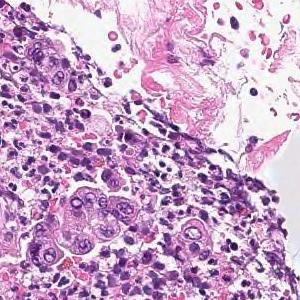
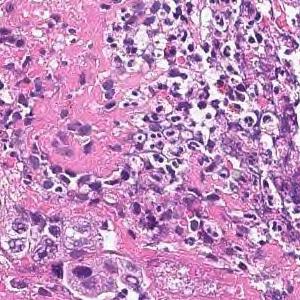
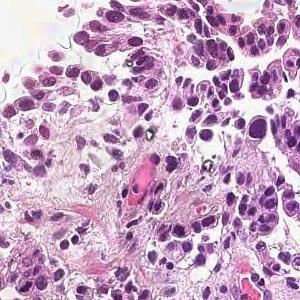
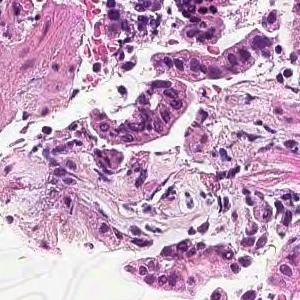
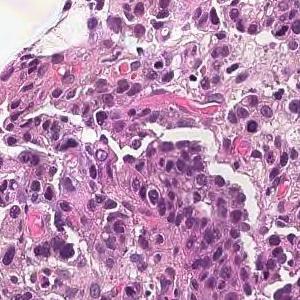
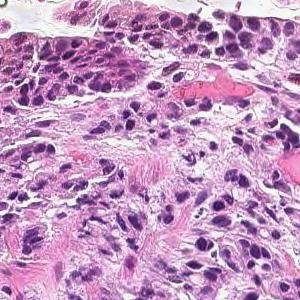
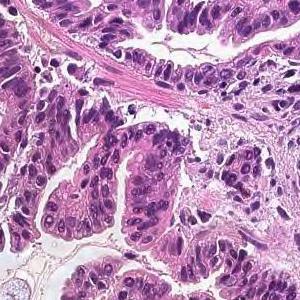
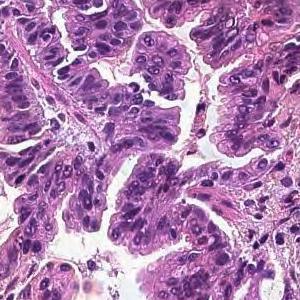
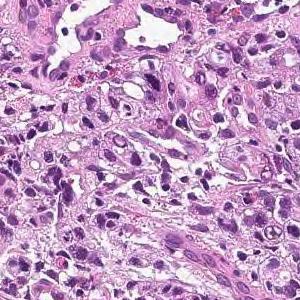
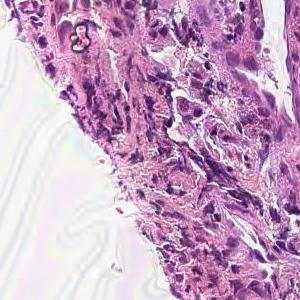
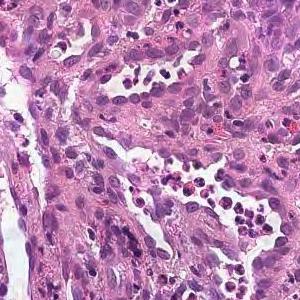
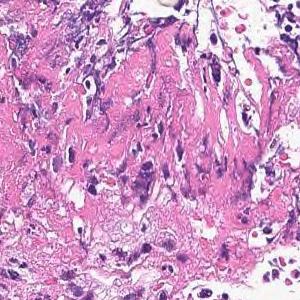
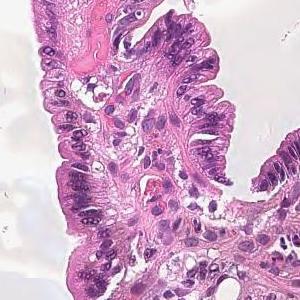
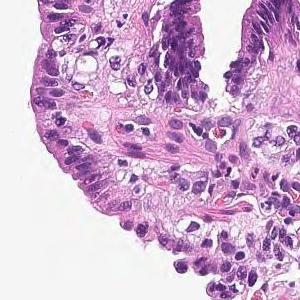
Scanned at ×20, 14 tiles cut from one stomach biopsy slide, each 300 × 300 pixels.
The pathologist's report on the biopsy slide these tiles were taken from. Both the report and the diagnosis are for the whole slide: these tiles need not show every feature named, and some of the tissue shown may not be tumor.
Tumor tissue consisting of medium-sized, cord-like or irregular glandular infiltration is observed in the superficial epithelium. Poorly differentiated adenocarcinoma, non-solid type or moderately differentiated tubular adenocarcinoma
Histological subtype: Moderately to poorly differentiated adenocarcinoma.
"Non-solid type" is a category of the Japanese Classification of Gastric Carcinoma.
